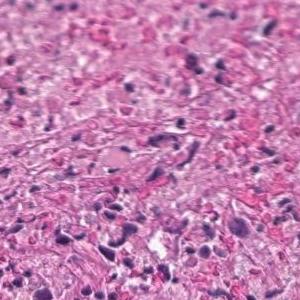
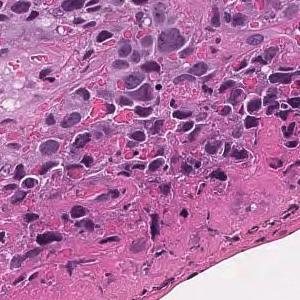
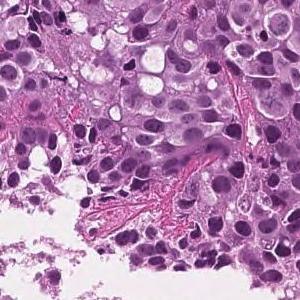
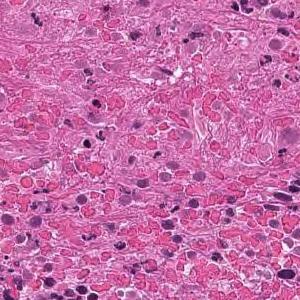
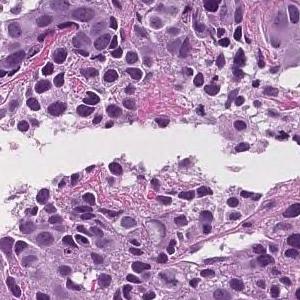
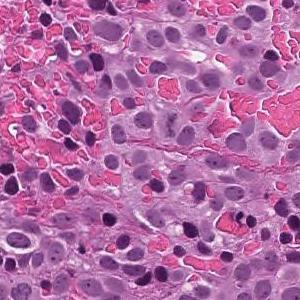
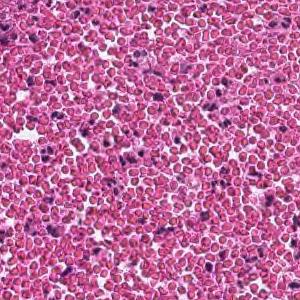
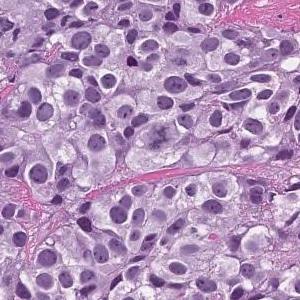
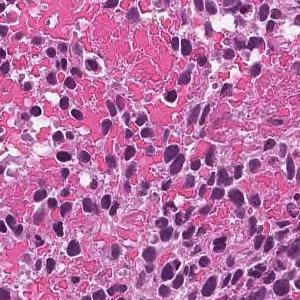
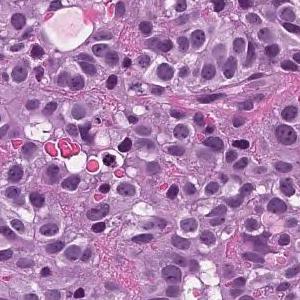
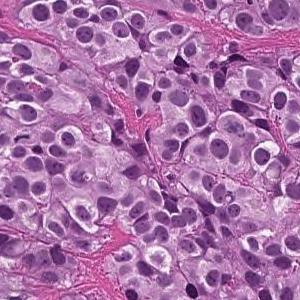
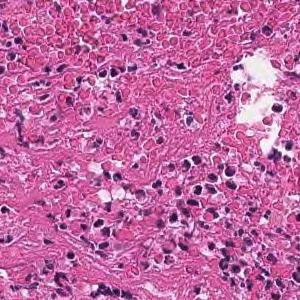
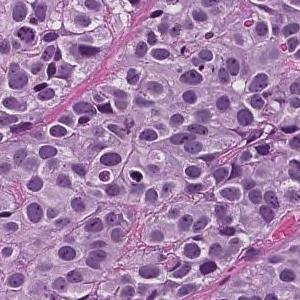
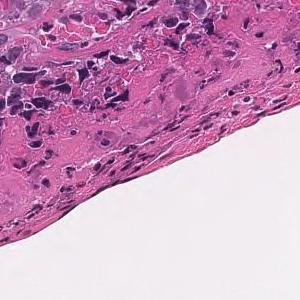
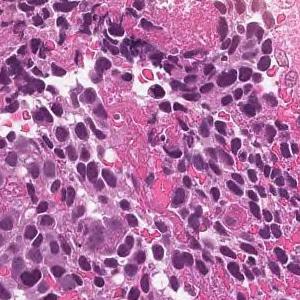
15 tiles cut from one stomach biopsy slide, 300 × 300 pixels each, scanned at ×20, H&E.
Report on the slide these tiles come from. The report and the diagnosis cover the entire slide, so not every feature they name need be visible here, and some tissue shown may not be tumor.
The superficial epithelium shows a large sheet-like shape, and some tumor tissue infiltrates with small irregular ducts. Poorly differentiated adenocarcinoma, solid-type
Histological subtype: Poorly differentiated adenocarcinoma, solid type, a category of the Japanese Classification of Gastric Carcinoma; in the WHO 2019 classification it is tubular adenocarcinoma, poorly differentiated.
